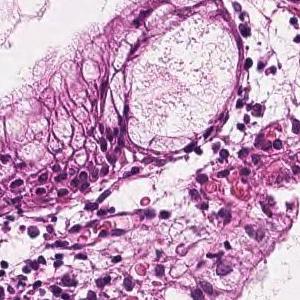
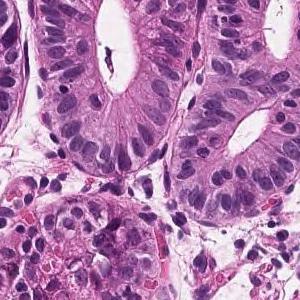
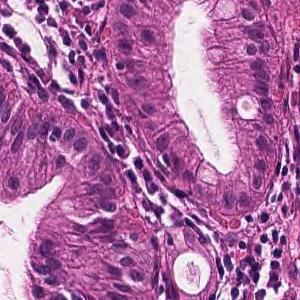
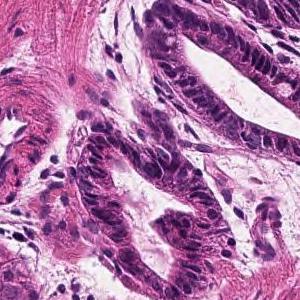
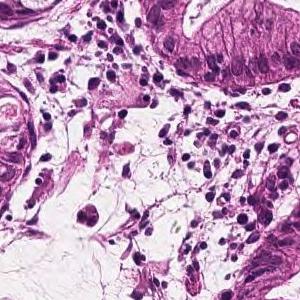
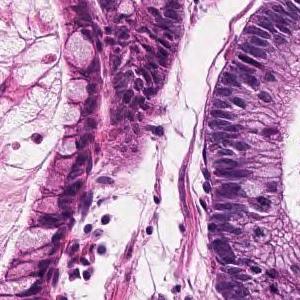
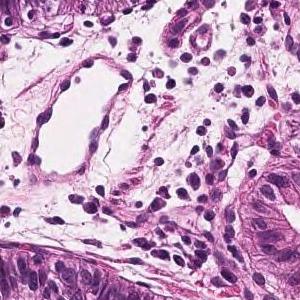
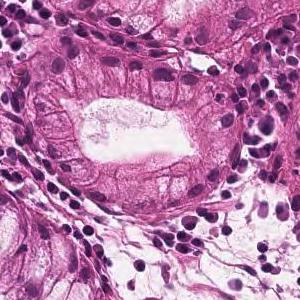
H&E stain · 8 tiles from the same stomach biopsy slide · each 300 × 300 pixels.
The pathologist's report on the biopsy slide these tiles were taken from. The findings and the diagnosis refer to the entire slide; these tiles show only part of it, possibly with non-tumor tissue, and may not show every feature named.
In the superficial epithelium, tumor tissue that invades by forming medium-sized to small, irregular ducts is observed. Well differentiated tubular adenocarcinoma.
